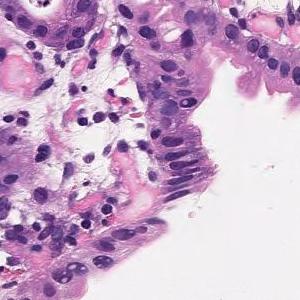
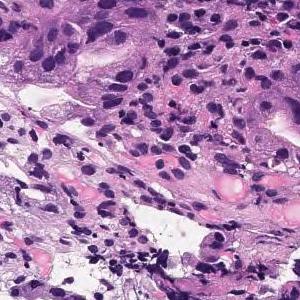
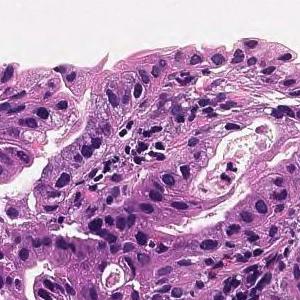
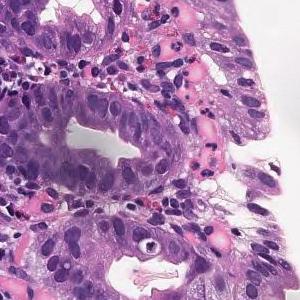
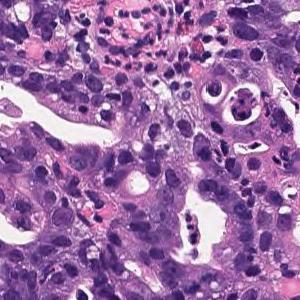
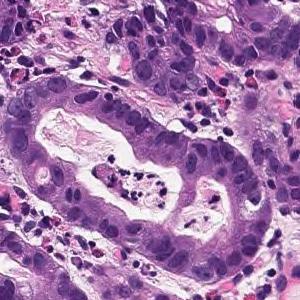
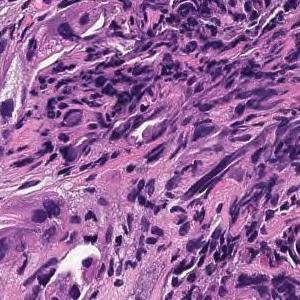
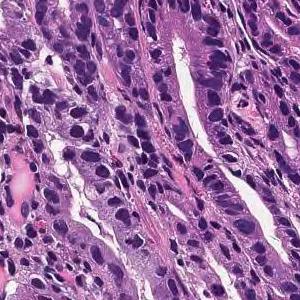
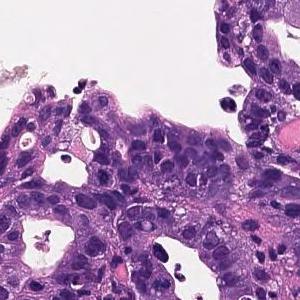
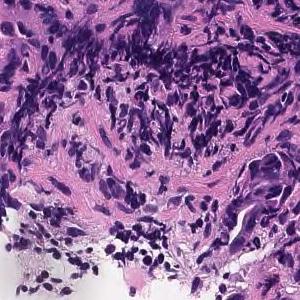
H&E, 10 image tiles from a single gastric biopsy slide.
The pathologist's report on the biopsy slide these tiles were taken from. The report and the diagnosis cover the entire slide, so not every feature they name need be visible here, and some tissue shown may not be tumor.
On the superficial epithelium, tumor tissue consisting of large, irregular glandular ducts partially fused and infiltrated is observed. Well to moderately differentiated tubular adenocarcinoma (well differentiated tubular adenocarcinoma, moderately differentiated tubular adenocarcinoma)
Tumor subtype: well to moderately differentiated tubular adenocarcinoma.
